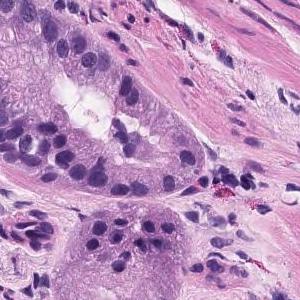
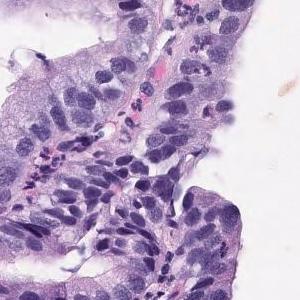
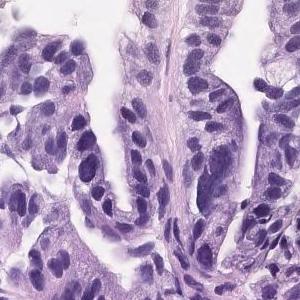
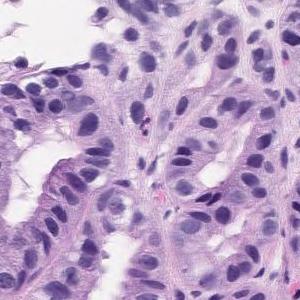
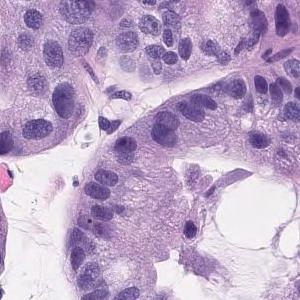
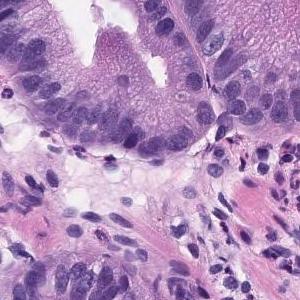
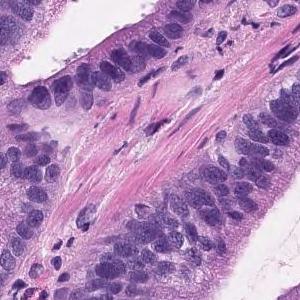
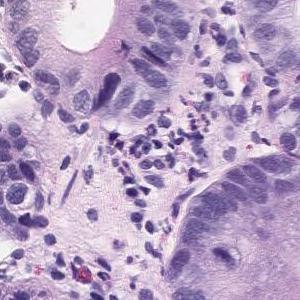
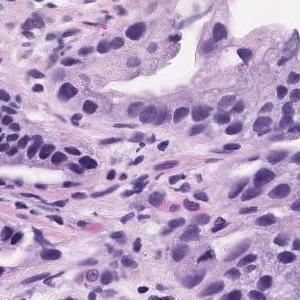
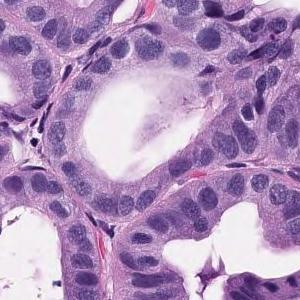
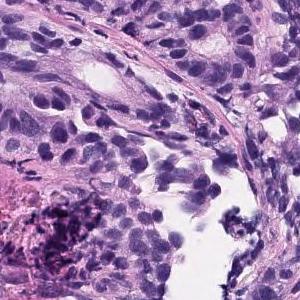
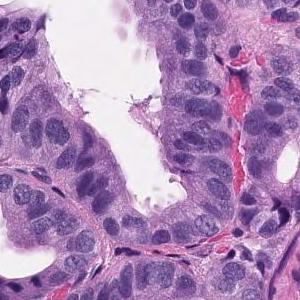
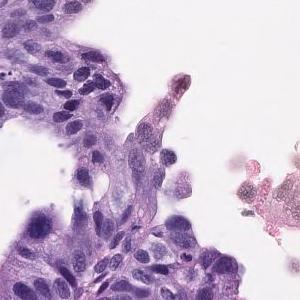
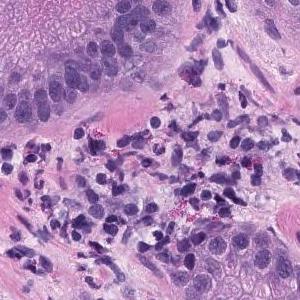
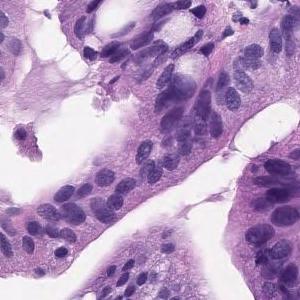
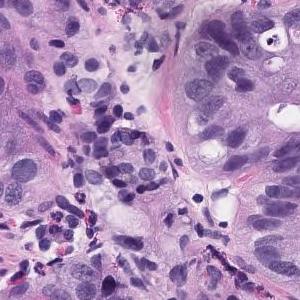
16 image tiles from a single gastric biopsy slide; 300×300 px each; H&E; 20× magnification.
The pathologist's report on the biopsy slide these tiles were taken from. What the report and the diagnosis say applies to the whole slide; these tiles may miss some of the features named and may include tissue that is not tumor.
Tumor tissue consisting of medium-sized and irregular ducts is observed infiltrating in the superficial epithelium. Tumor cells are highly columnar, with nuclei aligned basolaterally and polarized. Well differentiated tubular adenocarcinoma.
